10 patches cut from one gastric biopsy slide, each 300 × 300 pixels, scanned at ×20, H&E.
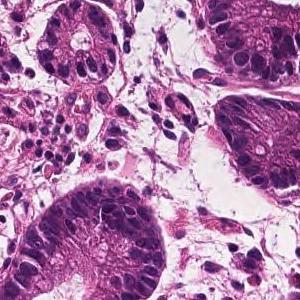
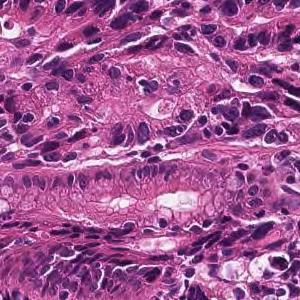
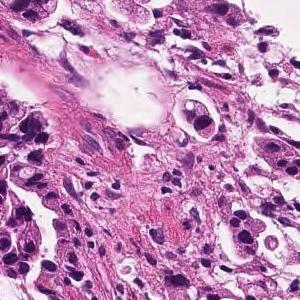
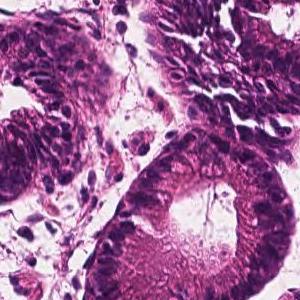
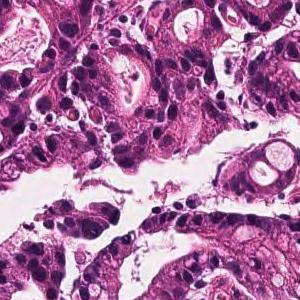
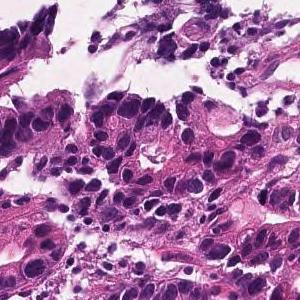
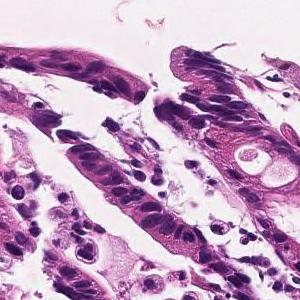
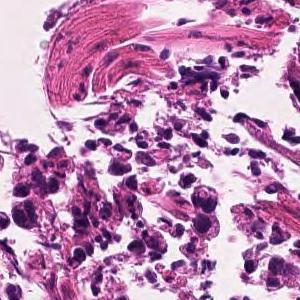
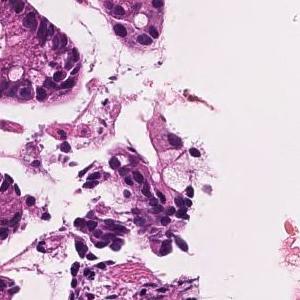
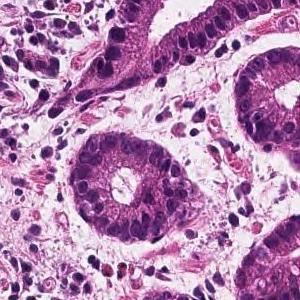
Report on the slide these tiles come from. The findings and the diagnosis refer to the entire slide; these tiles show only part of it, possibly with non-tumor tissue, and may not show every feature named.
In the superficial epithelium, tumor tissue that invades by forming medium-sized to small, irregular ducts is observed. moderately differentiated tubular adenocarcinoma.
